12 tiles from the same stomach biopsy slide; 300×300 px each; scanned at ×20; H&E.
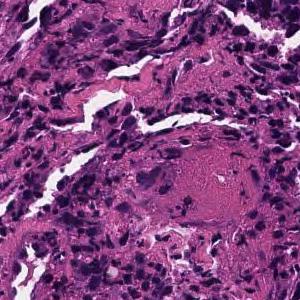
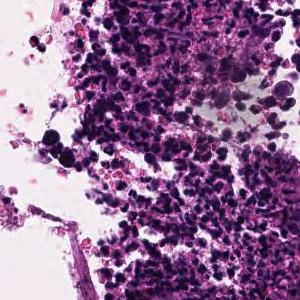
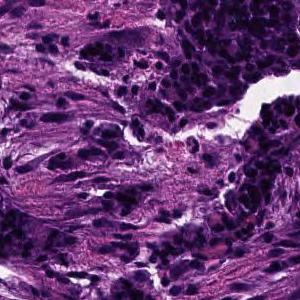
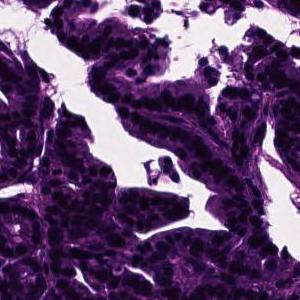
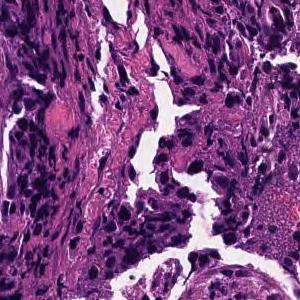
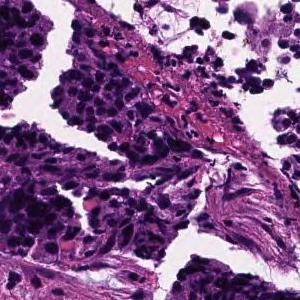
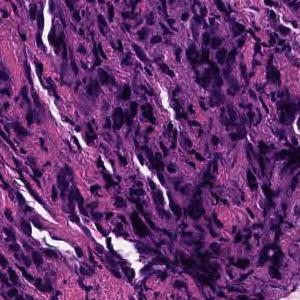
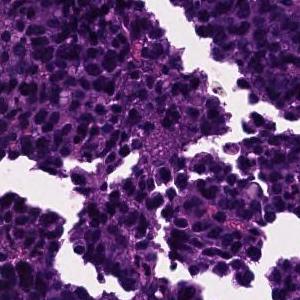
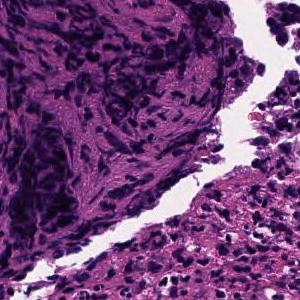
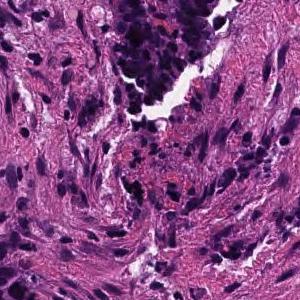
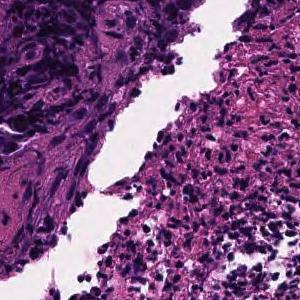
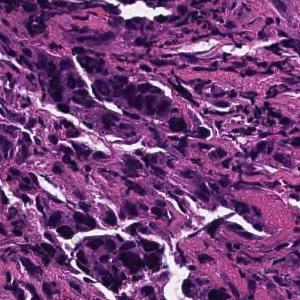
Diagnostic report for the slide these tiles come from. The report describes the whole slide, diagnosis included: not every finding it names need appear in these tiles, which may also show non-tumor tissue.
In the superficial epithelium, tumor tissue that invades by forming medium-sized to small, irregular ducts is observed. moderately differentiated tubular adenocarcinoma.
